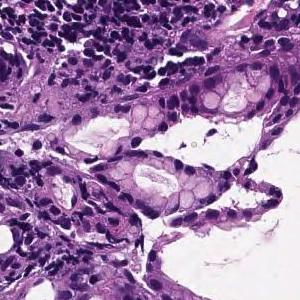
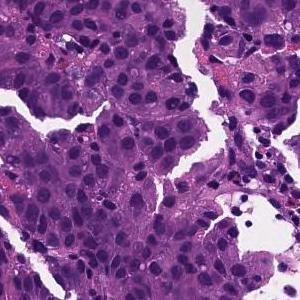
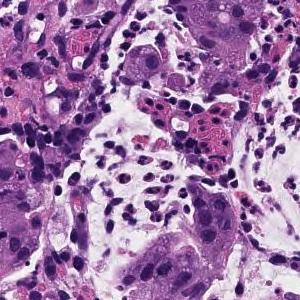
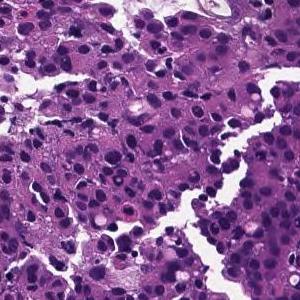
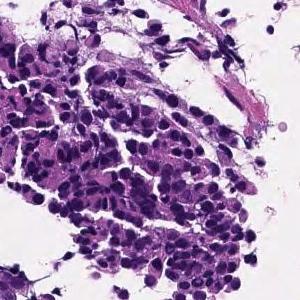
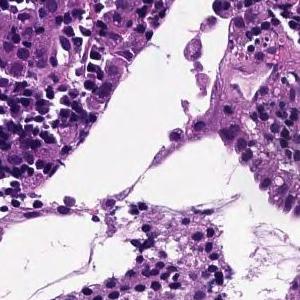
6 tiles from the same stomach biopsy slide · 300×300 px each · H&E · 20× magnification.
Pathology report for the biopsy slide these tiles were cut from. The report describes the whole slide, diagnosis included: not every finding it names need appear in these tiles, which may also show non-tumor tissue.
The superficial epithelium shows a large sheet-like shape, and some tumor tissue infiltrates with small irregular ducts. Poorly differentiated adenocarcinoma, solid-type
Histologic type: Poorly differentiated adenocarcinoma, solid type (Japanese Classification of Gastric Carcinoma). The WHO 2019 equivalent is tubular adenocarcinoma, poorly differentiated.
